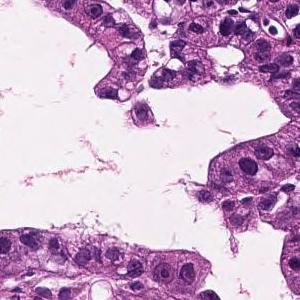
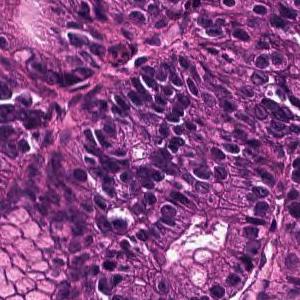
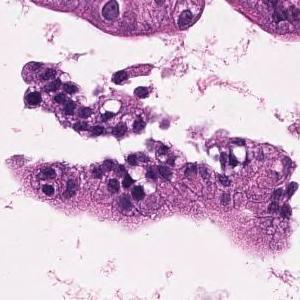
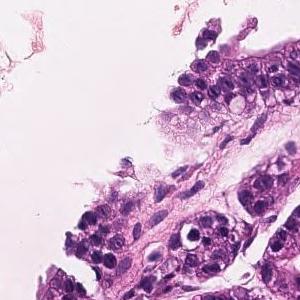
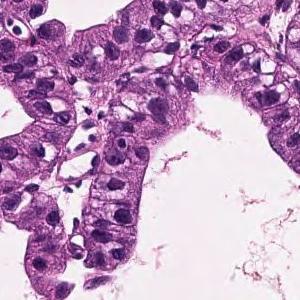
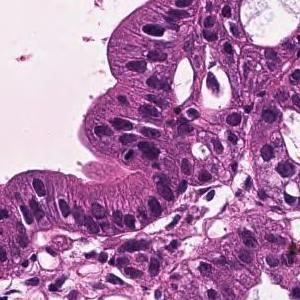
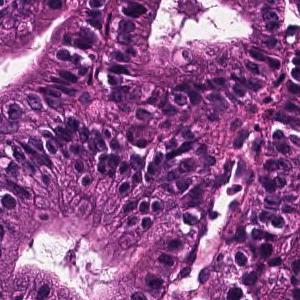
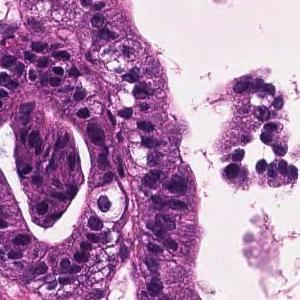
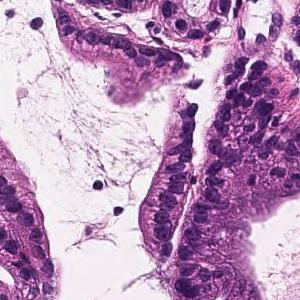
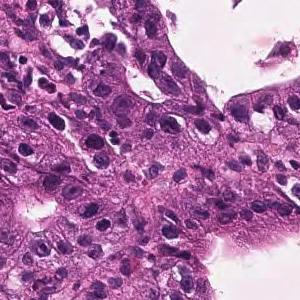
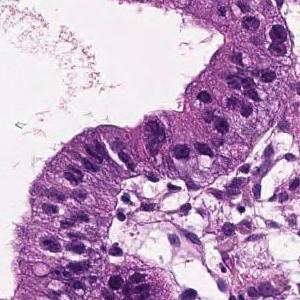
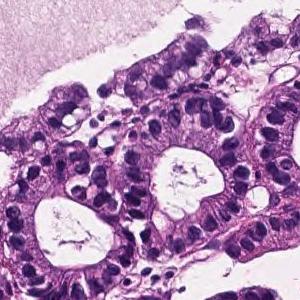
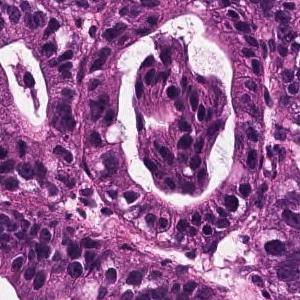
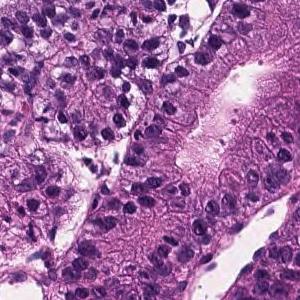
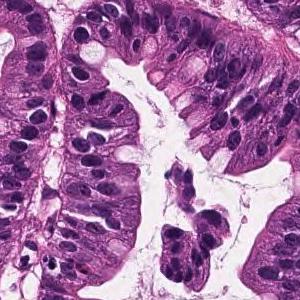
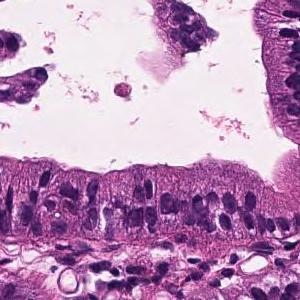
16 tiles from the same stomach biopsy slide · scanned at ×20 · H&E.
The pathologist's report on the biopsy slide these tiles were taken from. The report describes the whole slide, diagnosis included: not every finding it names need appear in these tiles, which may also show non-tumor tissue.
On the superficial epithelium, tumor tissue that infiltrates by forming medium-sized papillary or small irregular ducts is observed. Papillary adenocarcinoma
